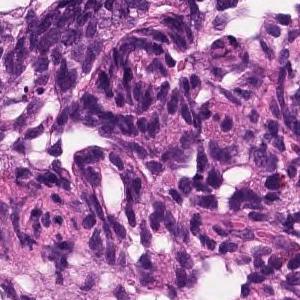
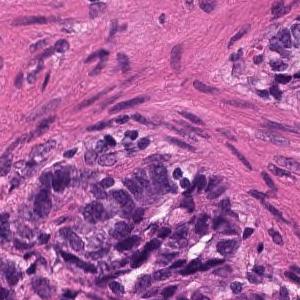
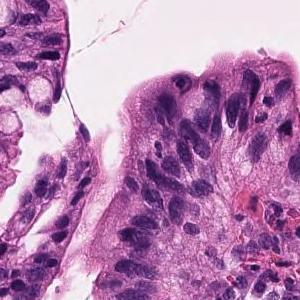
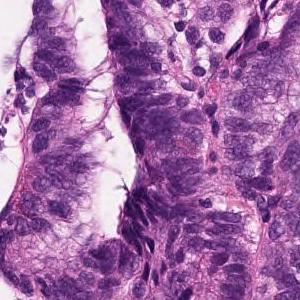
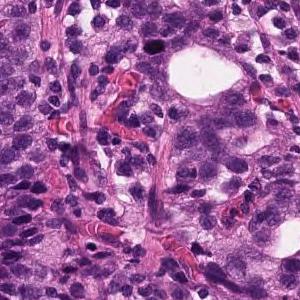
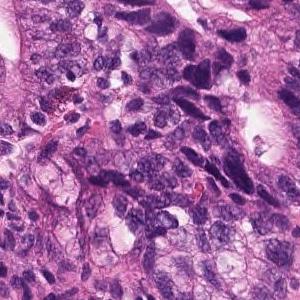
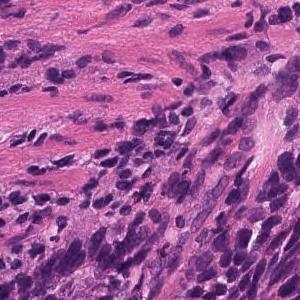
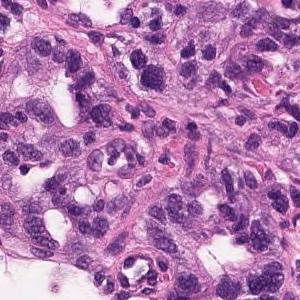
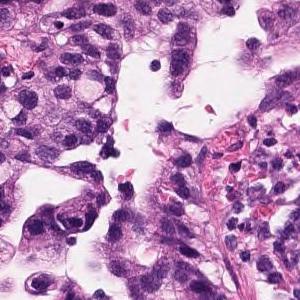
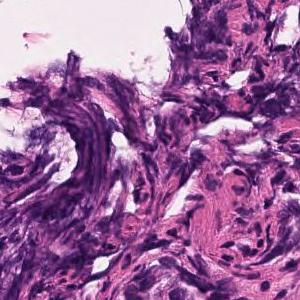
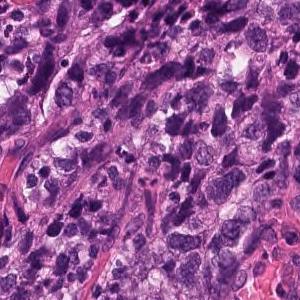
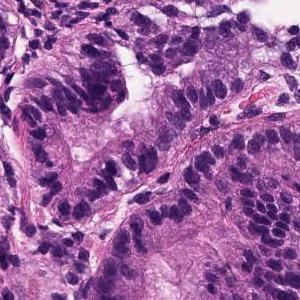
12 image tiles from a single gastric biopsy slide, 300×300 px each, H&E, ×20.
The pathologist's report on the biopsy slide these tiles were taken from. The findings and the diagnosis refer to the entire slide; these tiles show only part of it, possibly with non-tumor tissue, and may not show every feature named.
In the superficial epithelium, tumor tissue that invades by forming medium-sized to small, irregular ducts is observed. Moderately differentiated adenocarcinoma.
Subtype: Moderately differentiated tubular adenocarcinoma.
